10 tiles cut from one stomach biopsy slide · each 300 × 300 pixels · 20× magnification · H&E stain.
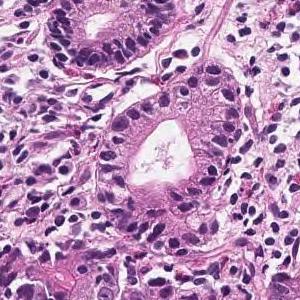
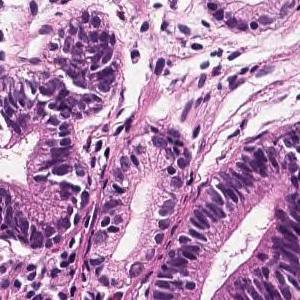
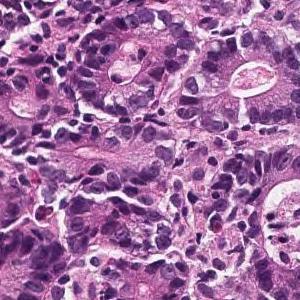
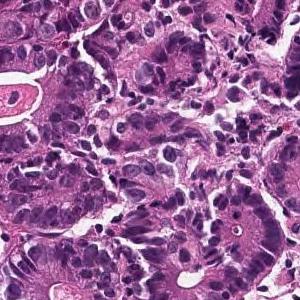
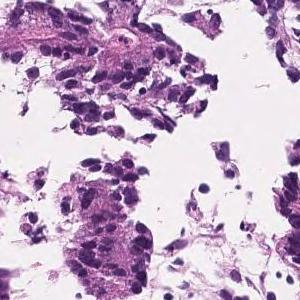
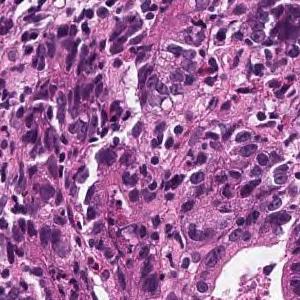
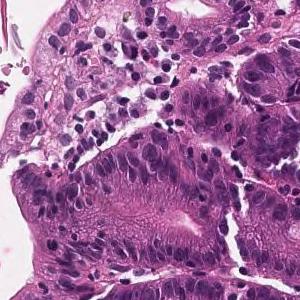
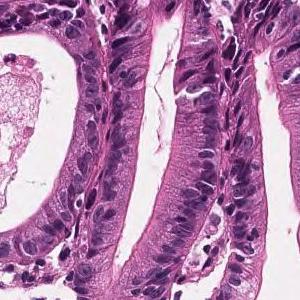
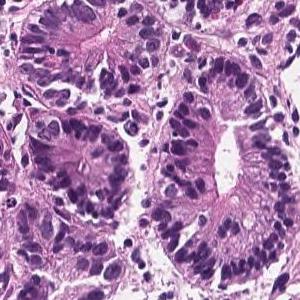
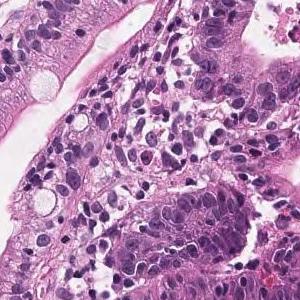
The pathologist's report on the biopsy slide these tiles were taken from. Both the report and the diagnosis are for the whole slide: these tiles need not show every feature named, and some of the tissue shown may not be tumor.
In the superficial epithelium, tumor tissue that invades by forming medium-sized to small, irregular ducts is observed. Moderately differentiated adenocarcinoma.
Tumor subtype: moderately differentiated tubular adenocarcinoma.
